H&E, 14 image tiles from a single gastric biopsy slide, each 300 × 300 pixels.
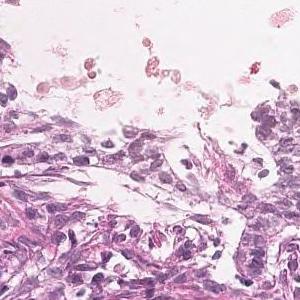
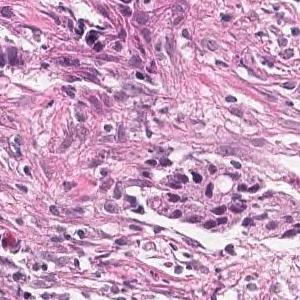
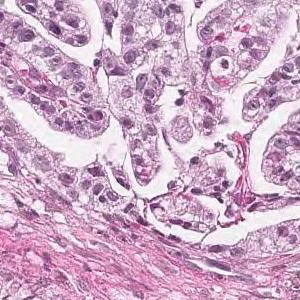
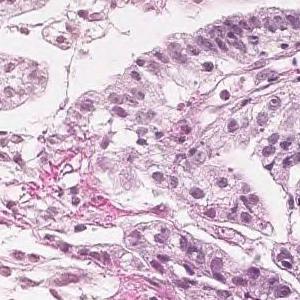
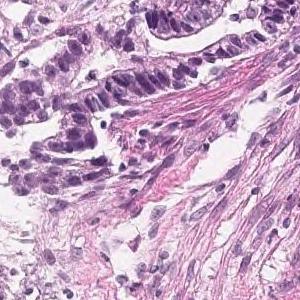
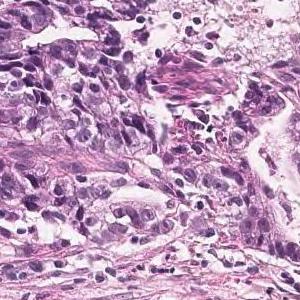
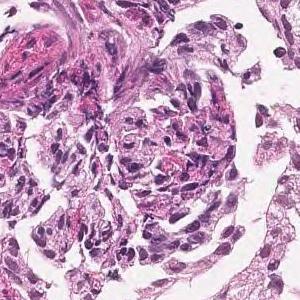
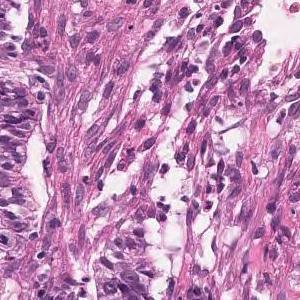
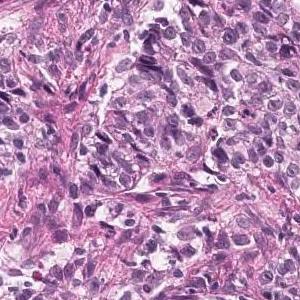
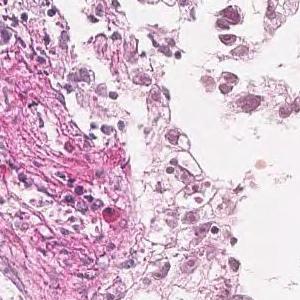
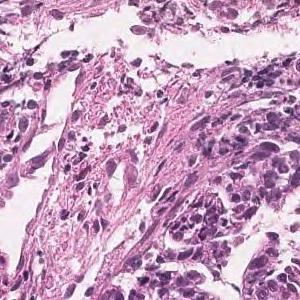
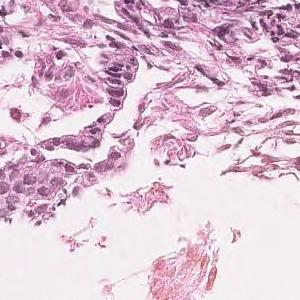
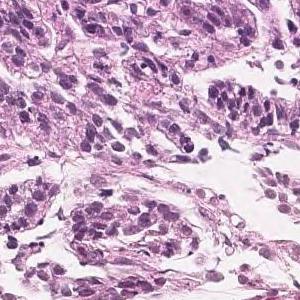
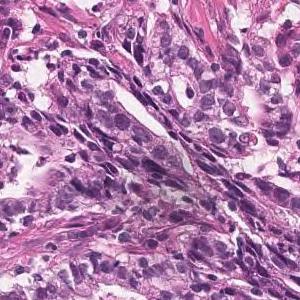
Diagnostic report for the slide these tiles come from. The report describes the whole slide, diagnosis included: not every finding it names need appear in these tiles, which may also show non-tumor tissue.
Tumor tissue in which highly columnar atypical epithelial cells with nuclear enlargement and increased nuclear chromatin show papillary to papillary ductal structure and proliferate is observed. Papillary adenocarcinoma.
